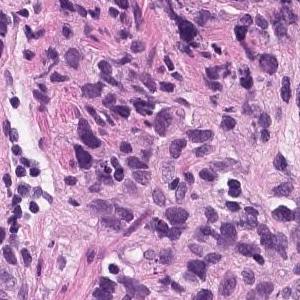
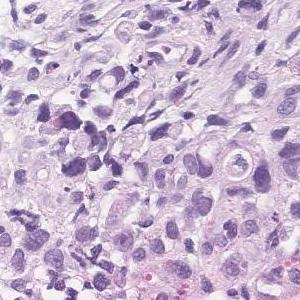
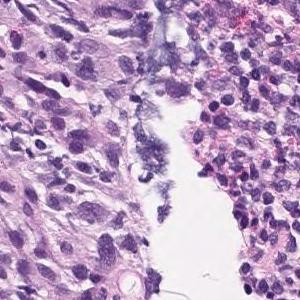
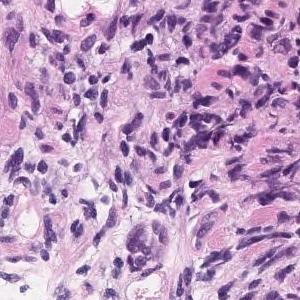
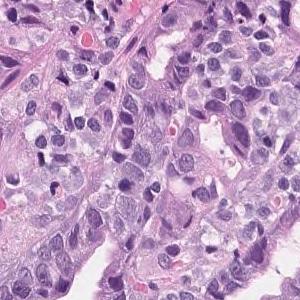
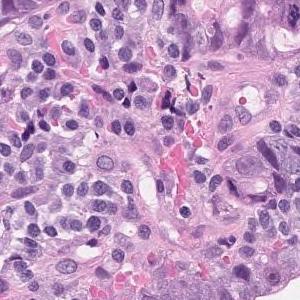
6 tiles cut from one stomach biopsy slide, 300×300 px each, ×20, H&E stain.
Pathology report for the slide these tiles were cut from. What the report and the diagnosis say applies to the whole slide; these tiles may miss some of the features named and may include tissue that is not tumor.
Tumor tissue consisting of medium-sized, cord-like or irregular glandular infiltration is observed in the superficial epithelium. Poorly differentiated adenocarcinoma, non-solid type or moderately differentiated tubular adenocarcinoma
Labeled in the dataset as poorly differentiated adenocarcinoma, non-solid type.
"Non-solid type" is a category of the Japanese Classification of Gastric Carcinoma.
